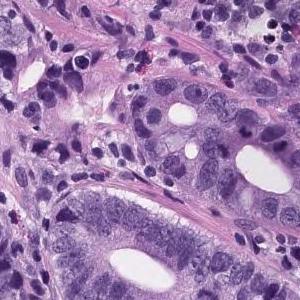
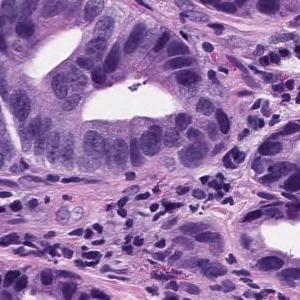
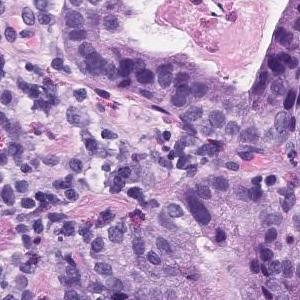
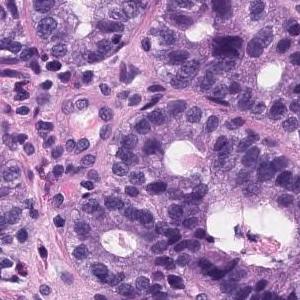
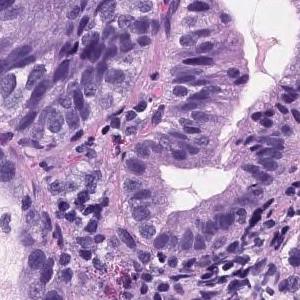
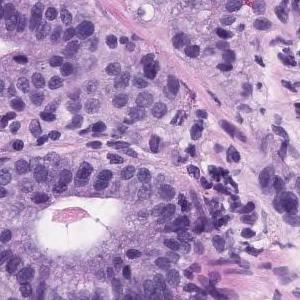
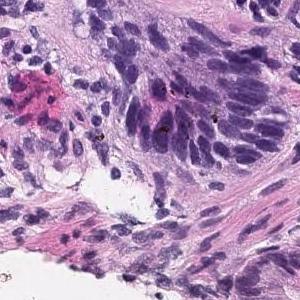
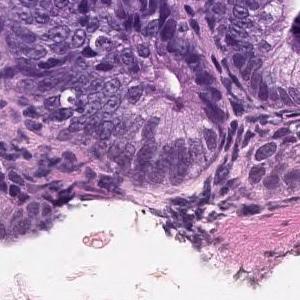
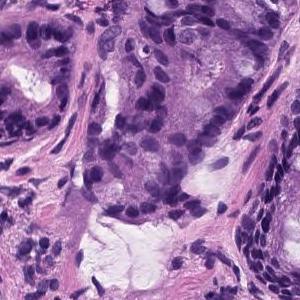
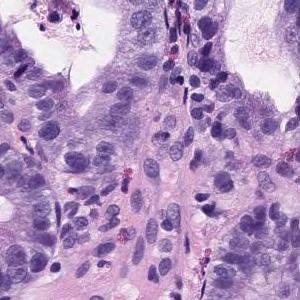
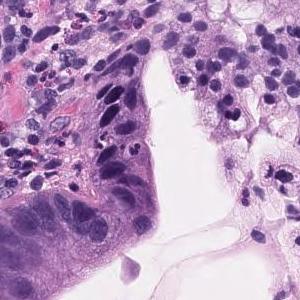
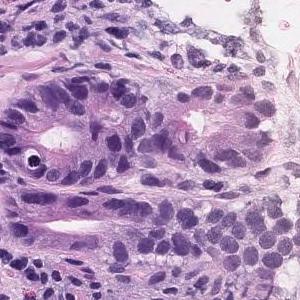
×20; 12 patches cut from one gastric biopsy slide; each 300 × 300 pixels.
Diagnostic report for the slide these tiles come from. Both the report and the diagnosis are for the whole slide: these tiles need not show every feature named, and some of the tissue shown may not be tumor.
Tumor tissue consisting of medium-sized and irregular ducts is observed infiltrating in the superficial epithelium. Tumor cells are highly columnar, with nuclei aligned basolaterally and polarized. Well differentiated tubular adenocarcinoma.
